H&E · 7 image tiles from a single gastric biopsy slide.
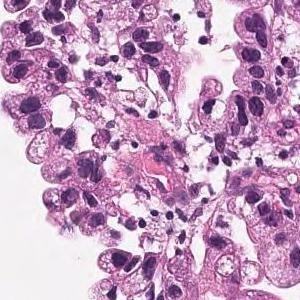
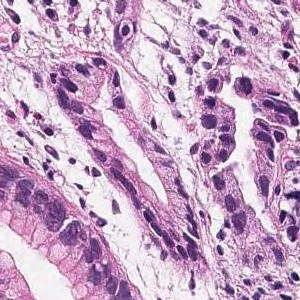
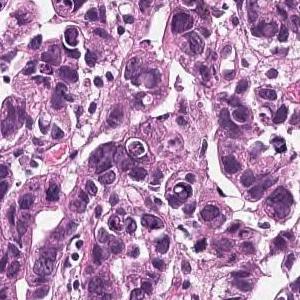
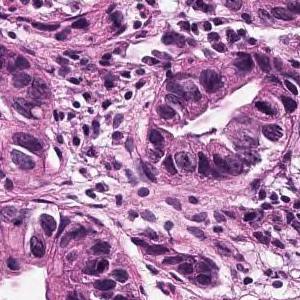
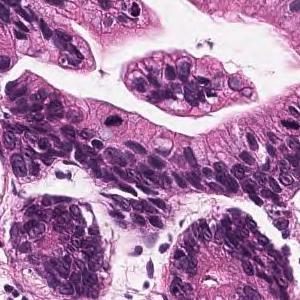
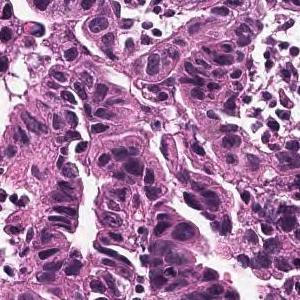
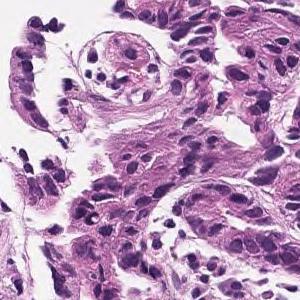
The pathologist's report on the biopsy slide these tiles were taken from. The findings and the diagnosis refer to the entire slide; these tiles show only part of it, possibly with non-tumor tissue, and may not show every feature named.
Medium to small, irregular glandular ducts are formed in the superficial epithelium, and in some cases, the glandular ducts are fused to show solid alveolar lesions and infiltrating tumor tissue is observed. Moderately to poorly differentiated adenocarcinoma.
